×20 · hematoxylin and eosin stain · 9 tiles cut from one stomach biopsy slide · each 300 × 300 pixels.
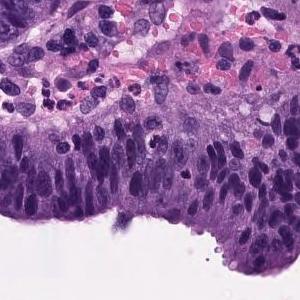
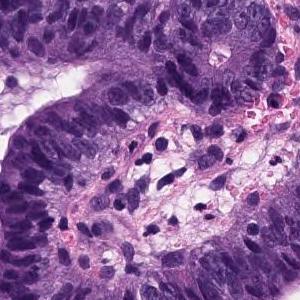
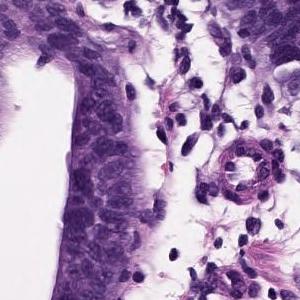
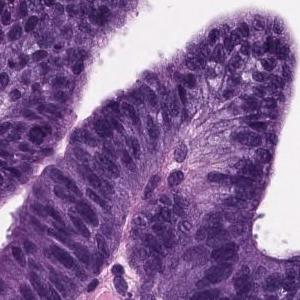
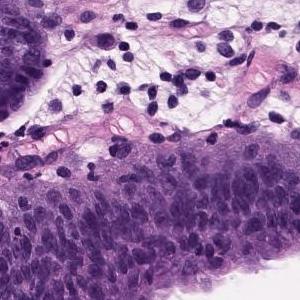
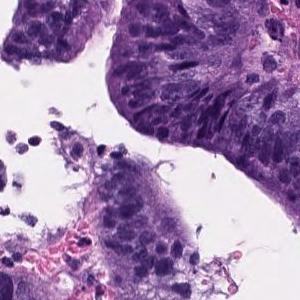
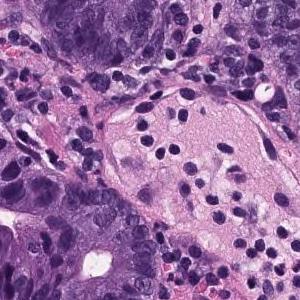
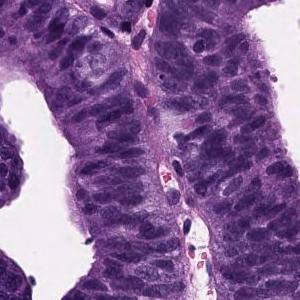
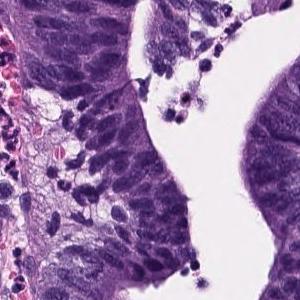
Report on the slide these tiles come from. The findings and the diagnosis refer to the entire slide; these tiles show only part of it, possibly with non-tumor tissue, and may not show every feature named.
Papillo-tubular growth of atypical tubules with nuclear swelling is observed. Well differentiated tubular adenocarcinoma
